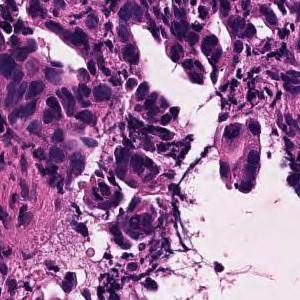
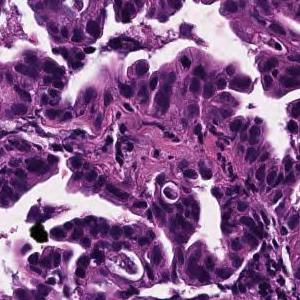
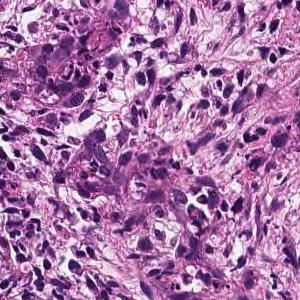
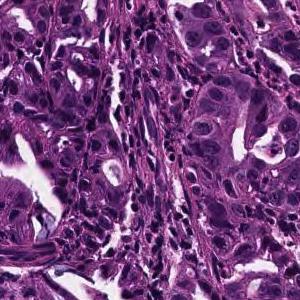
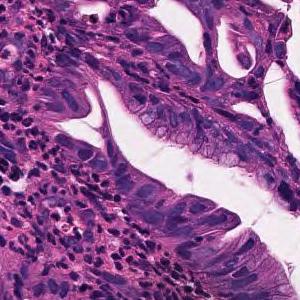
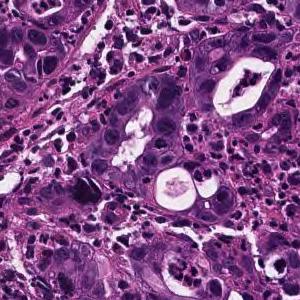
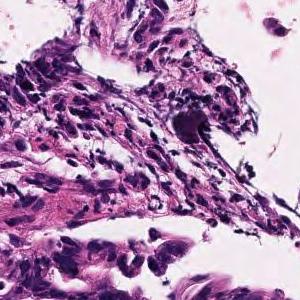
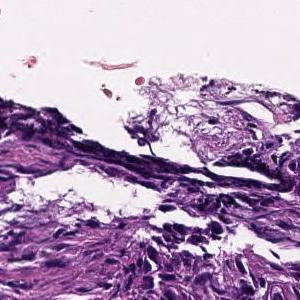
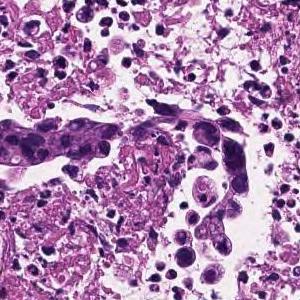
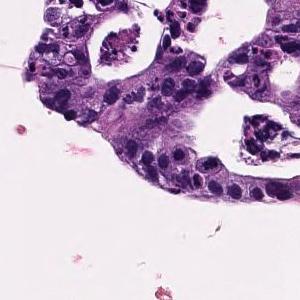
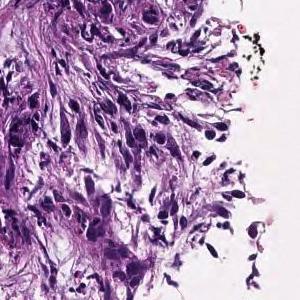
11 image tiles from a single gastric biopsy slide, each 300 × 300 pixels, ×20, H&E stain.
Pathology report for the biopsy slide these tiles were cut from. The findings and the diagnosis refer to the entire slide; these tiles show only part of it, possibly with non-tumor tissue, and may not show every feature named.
In the superficial epithelium, medium-sized to small irregular glandular ducts are formed, and in some cases, the glandular ducts are fused or small cord-like infiltrating tumor tissue is observed. moderately differentiated tubular adenocarcinoma
